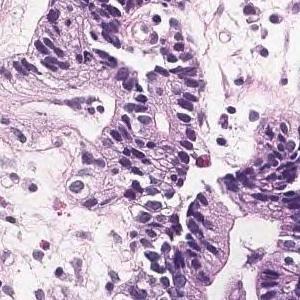
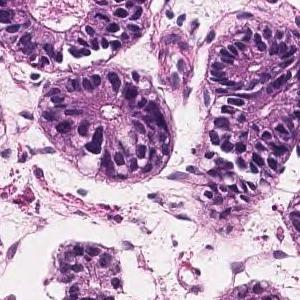
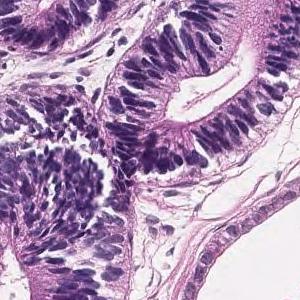
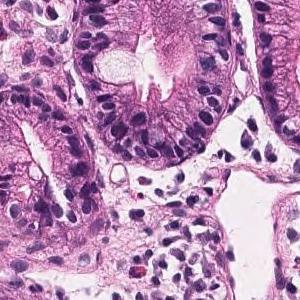
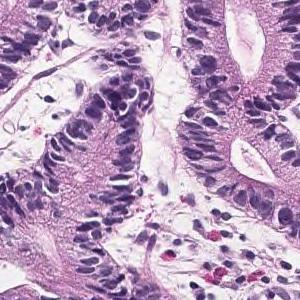
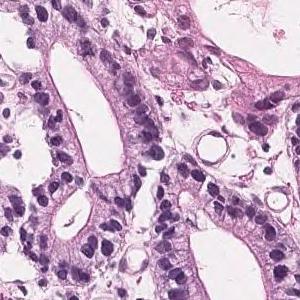
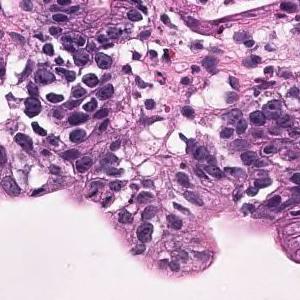
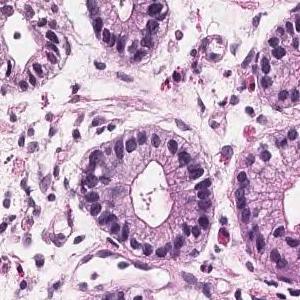
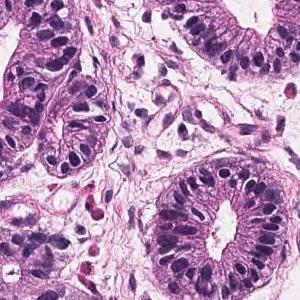
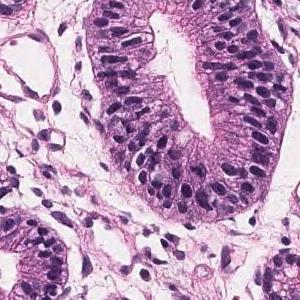
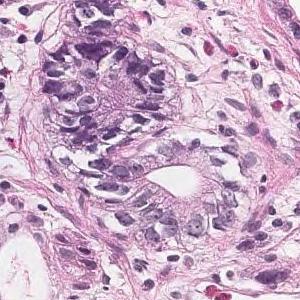
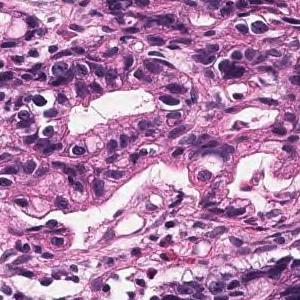
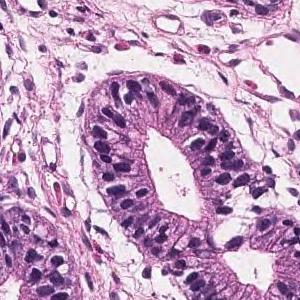
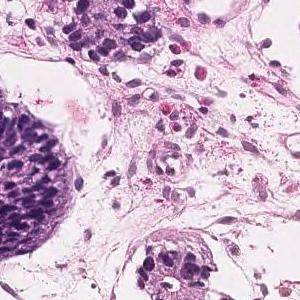
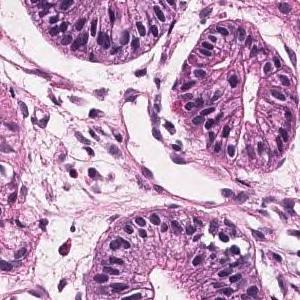
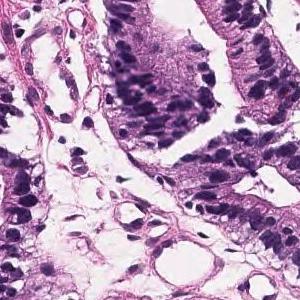
20× magnification; 16 patches cut from one gastric biopsy slide; each 300 × 300 pixels.
Pathology report for the slide these tiles were cut from. The report and the diagnosis cover the entire slide, so not every feature they name need be visible here, and some tissue shown may not be tumor.
Tumor tissue in which medium to small irregular ducts infiltrate and proliferate in the submucosa can be seen in the epithelium. Well differentiated tubular adenocarcinoma
